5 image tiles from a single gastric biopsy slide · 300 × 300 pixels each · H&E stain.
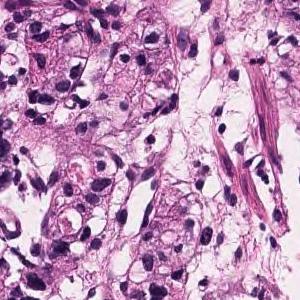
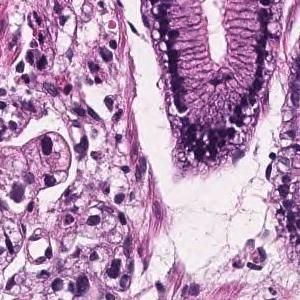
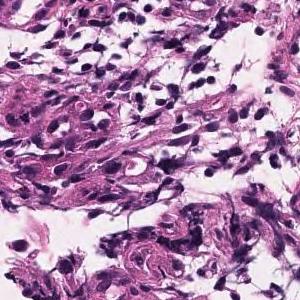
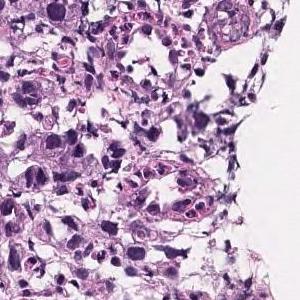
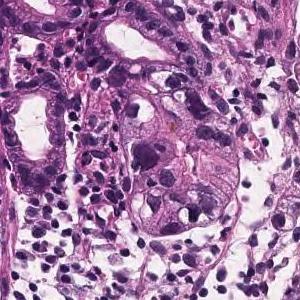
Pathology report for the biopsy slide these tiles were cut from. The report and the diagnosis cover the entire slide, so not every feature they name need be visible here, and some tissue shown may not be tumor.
Medium to small, irregular glandular ducts are formed in the superficial epithelium, and in some cases, the glandular ducts are fused to show solid alveolar lesions and infiltrating tumor tissue is observed. Moderately to poorly differentiated adenocarcinoma.
